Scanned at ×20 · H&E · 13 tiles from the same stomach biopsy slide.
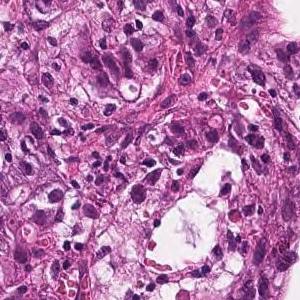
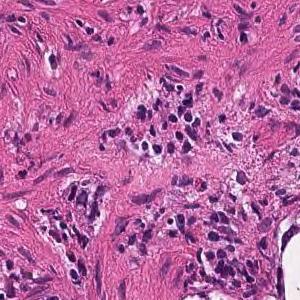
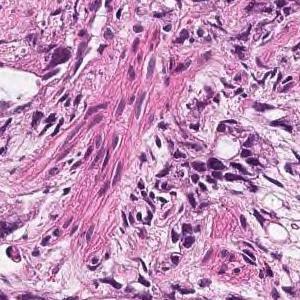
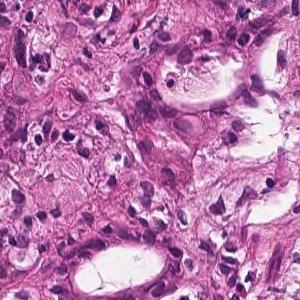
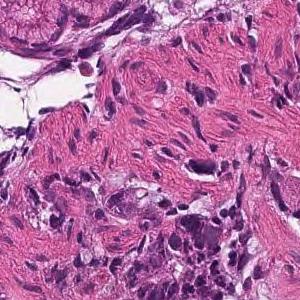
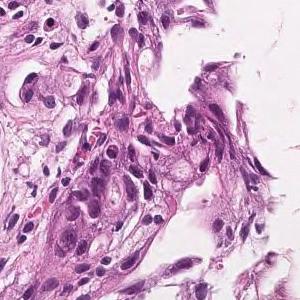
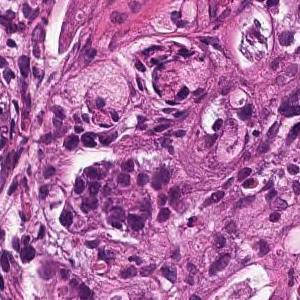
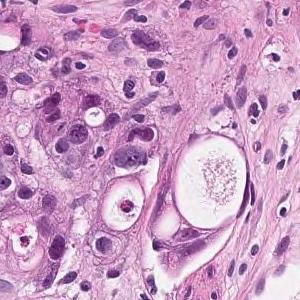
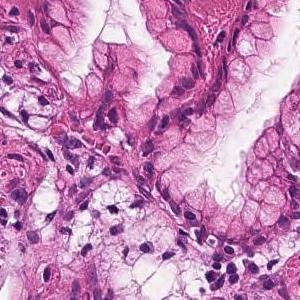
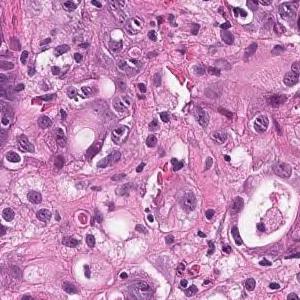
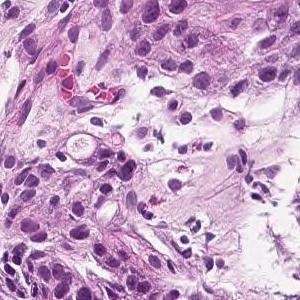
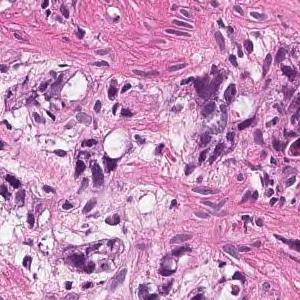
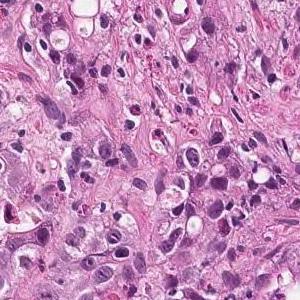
Pathology report for the slide these tiles were cut from. The report describes the whole slide, diagnosis included: not every finding it names need appear in these tiles, which may also show non-tumor tissue.
In the gastric mucosal tissue, tumor tissue that forms irregular glandular cavities of medium to small size or shows small cords and infiltrates is observed. moderately differentiated tubular adenocarcinoma
